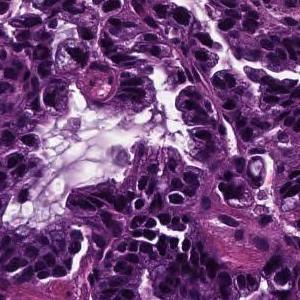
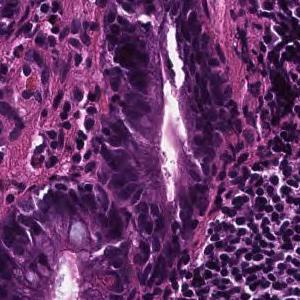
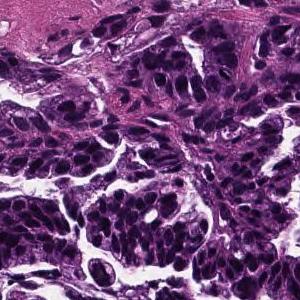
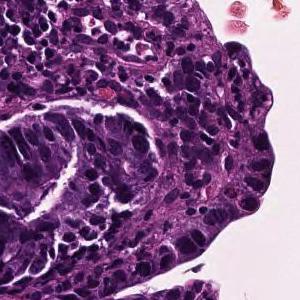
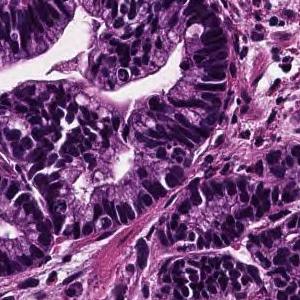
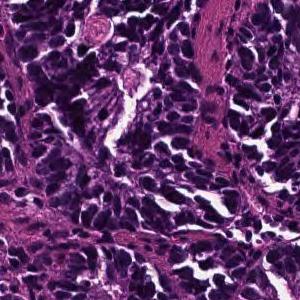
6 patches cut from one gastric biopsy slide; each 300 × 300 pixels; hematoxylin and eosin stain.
Pathology report for the slide these tiles were cut from. The report and the diagnosis describe the slide as a whole, so these tiles may not show every feature named and may include non-tumor tissue.
In the superficial epithelium, tumor tissue that invades by forming medium-sized to small, irregular ducts is observed. Well differentiated tubular adenocarcinoma.
